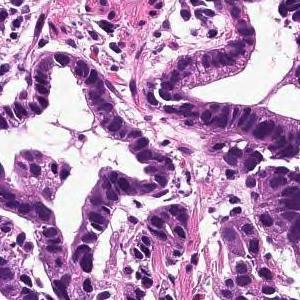
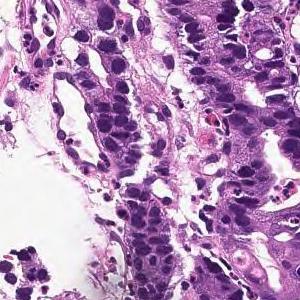
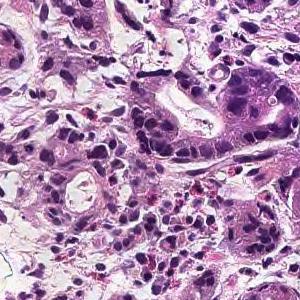
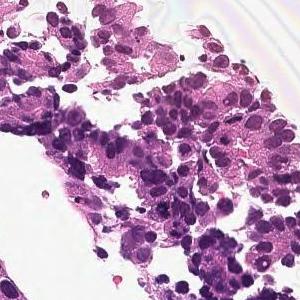
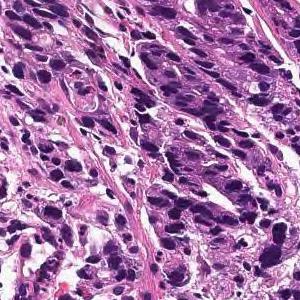
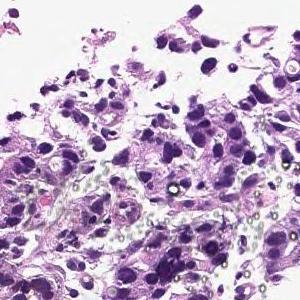
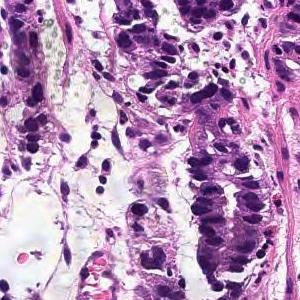
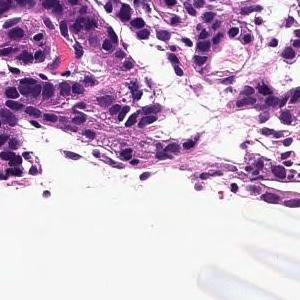
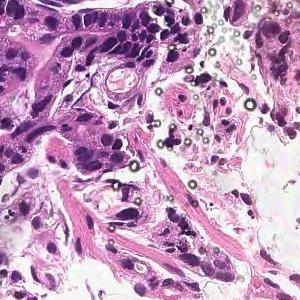
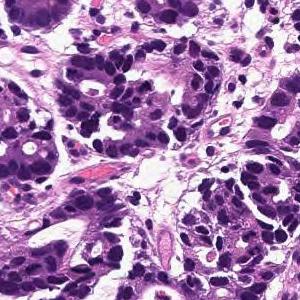
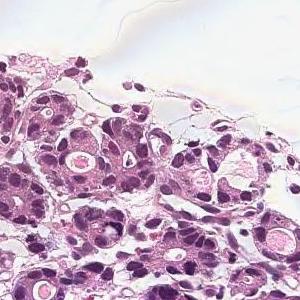
Scanned at ×20; H&E stain; 11 image tiles from a single gastric biopsy slide.
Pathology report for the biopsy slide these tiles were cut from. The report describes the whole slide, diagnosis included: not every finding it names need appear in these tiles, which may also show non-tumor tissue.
In the superficial epithelium, tumor tissue that invades by forming medium-sized to small, irregular ducts is observed. moderately differentiated tubular adenocarcinoma.
